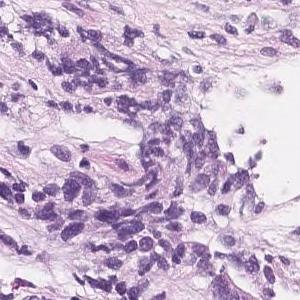
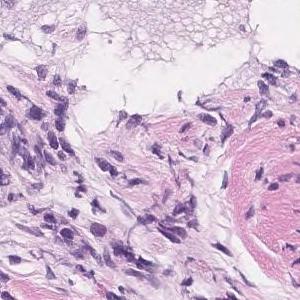
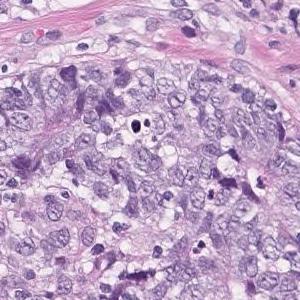
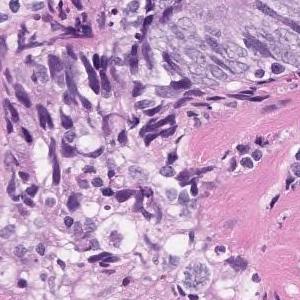
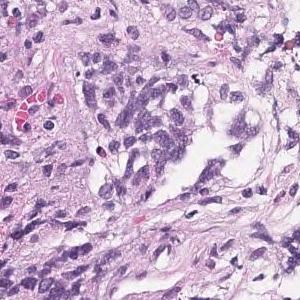
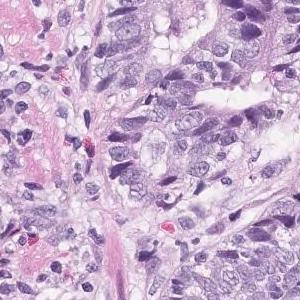
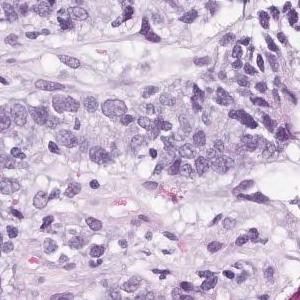
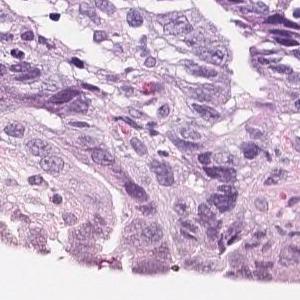
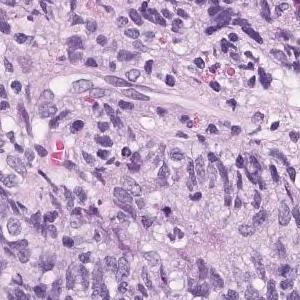
9 tiles from the same stomach biopsy slide; hematoxylin and eosin stain; scanned at ×20.
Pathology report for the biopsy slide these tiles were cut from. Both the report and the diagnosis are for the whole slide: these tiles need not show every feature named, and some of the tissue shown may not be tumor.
Highly columnar epithelium with disordered nuclear localization proliferates showing fusion ductal construction. moderately differentiated tubular adenocarcinoma
